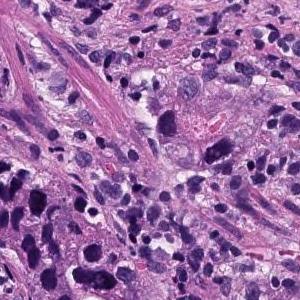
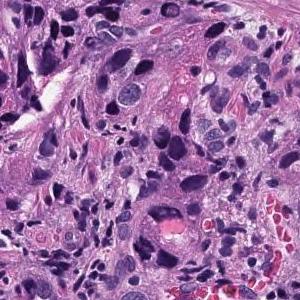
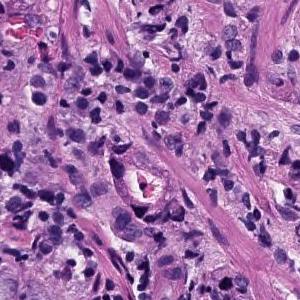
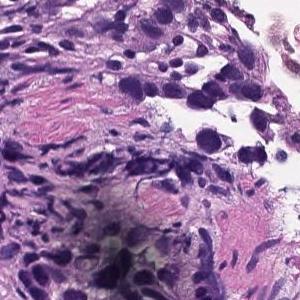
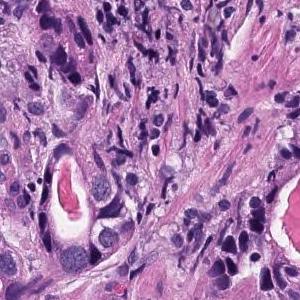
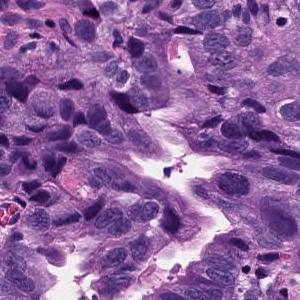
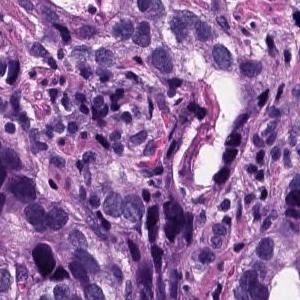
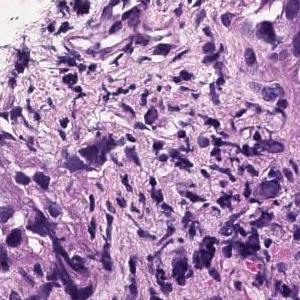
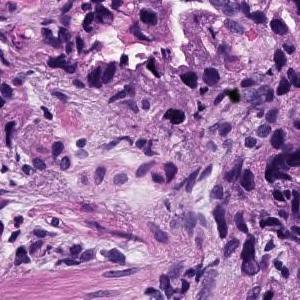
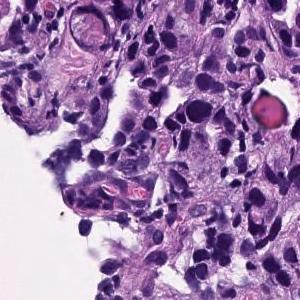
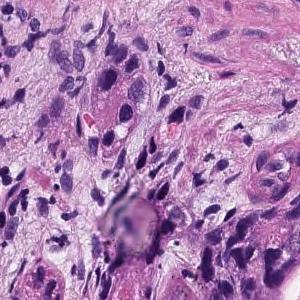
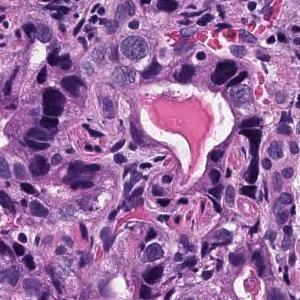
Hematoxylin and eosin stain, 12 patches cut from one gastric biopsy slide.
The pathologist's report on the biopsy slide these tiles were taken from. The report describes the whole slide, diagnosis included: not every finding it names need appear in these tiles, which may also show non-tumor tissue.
In the epithelium, tumor tissue in which medium to small irregular gland ducts fuse with each other and infiltrate the submucosa. moderately differentiated tubular adenocarcinoma
